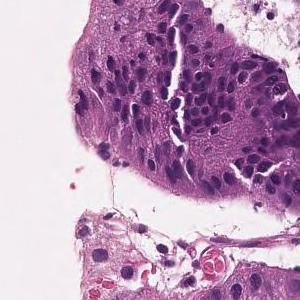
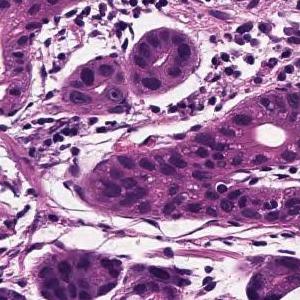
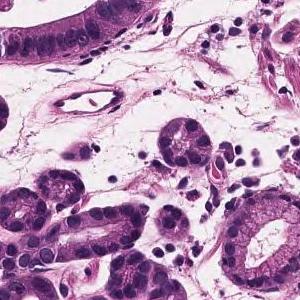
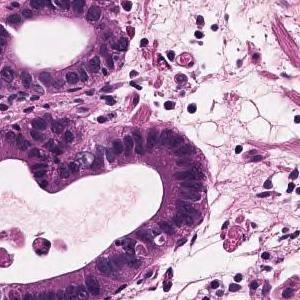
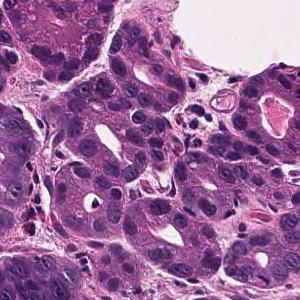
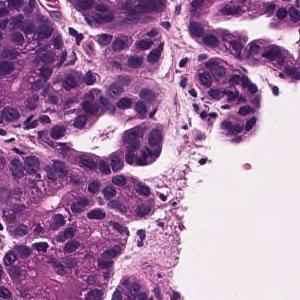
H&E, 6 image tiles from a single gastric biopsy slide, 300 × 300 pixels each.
The pathologist's report on the biopsy slide these tiles were taken from. The report describes the whole slide, diagnosis included: not every finding it names need appear in these tiles, which may also show non-tumor tissue.
From the superficial epithelium to the muscularis mucosae, tumor tissue consisting of medium-sized and irregular glandular ducts infiltrating is observed. Well differentiated tubular adenocarcinoma
